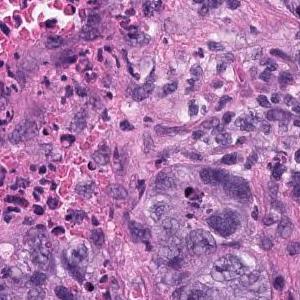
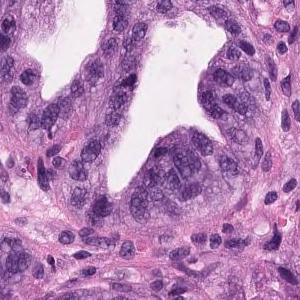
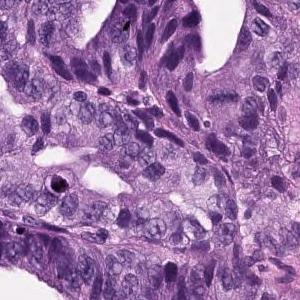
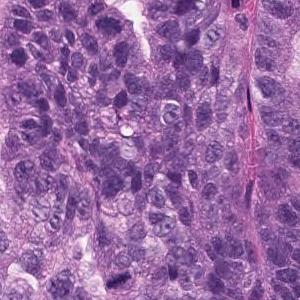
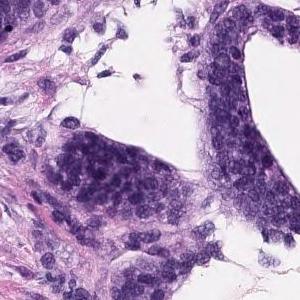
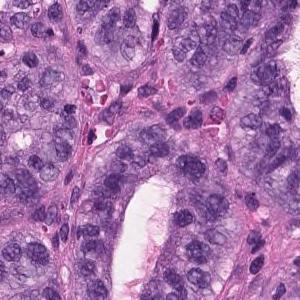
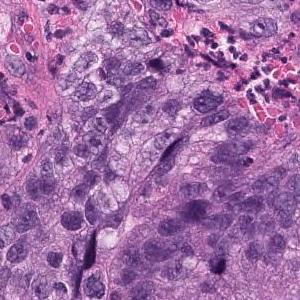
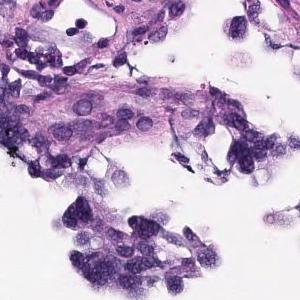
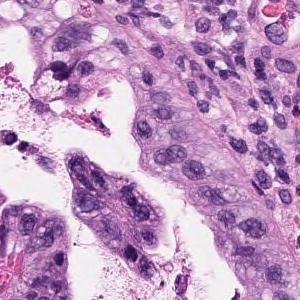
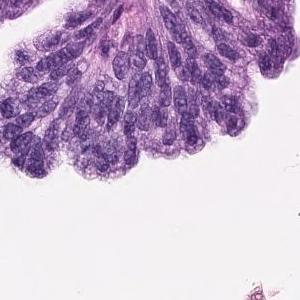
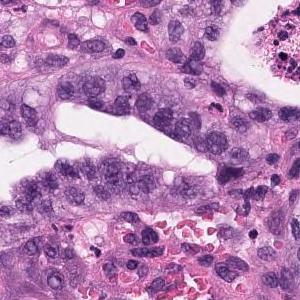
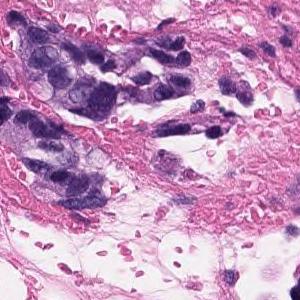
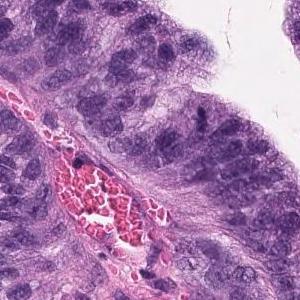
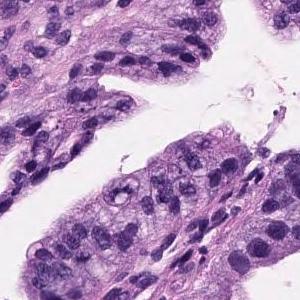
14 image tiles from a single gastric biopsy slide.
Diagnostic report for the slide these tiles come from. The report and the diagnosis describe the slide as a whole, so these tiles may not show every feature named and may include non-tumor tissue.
Tumor cells are large, highly columnar, large club-shaped nuclei, and are associated with chromatin aggregation. Papillary adenocarcinoma.
